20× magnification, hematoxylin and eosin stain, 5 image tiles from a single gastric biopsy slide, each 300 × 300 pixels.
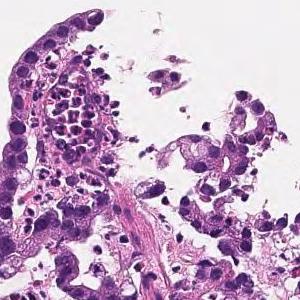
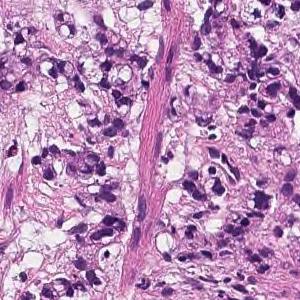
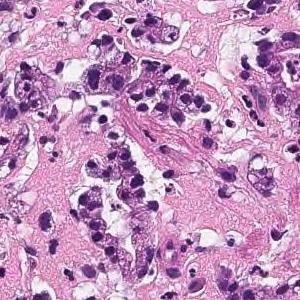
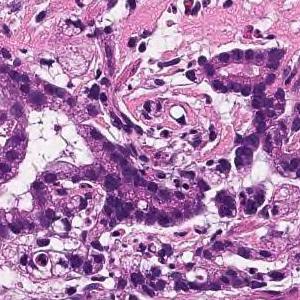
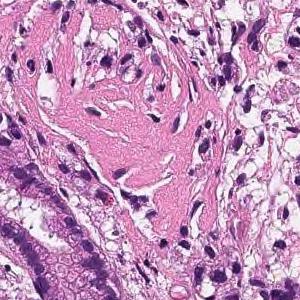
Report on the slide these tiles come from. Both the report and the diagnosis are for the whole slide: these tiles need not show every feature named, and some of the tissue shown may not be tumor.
In the superficial epithelium, tumor tissue that invades by forming medium-sized to small, irregular ducts is observed. moderately differentiated tubular adenocarcinoma.
